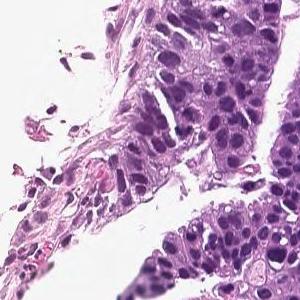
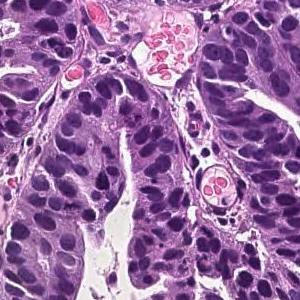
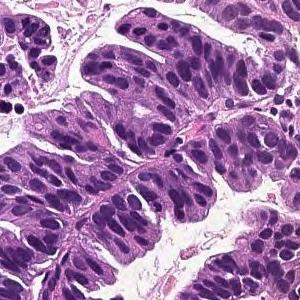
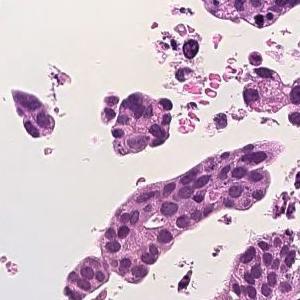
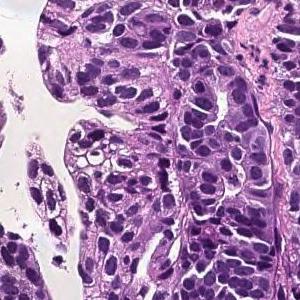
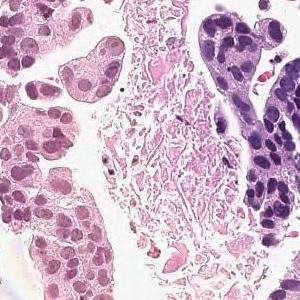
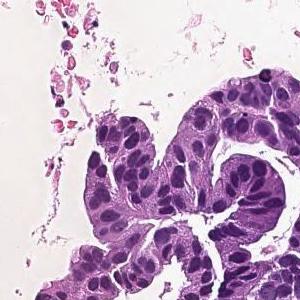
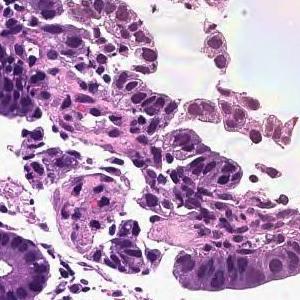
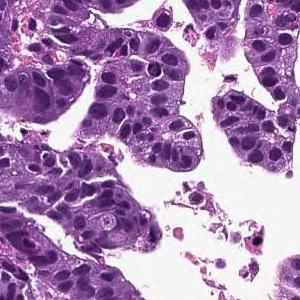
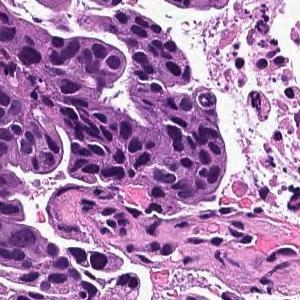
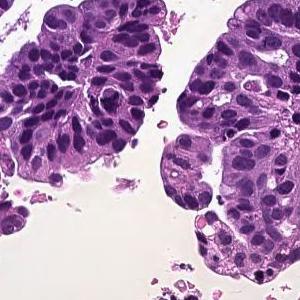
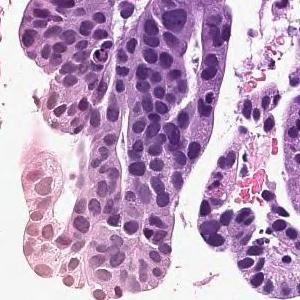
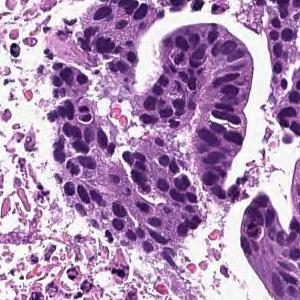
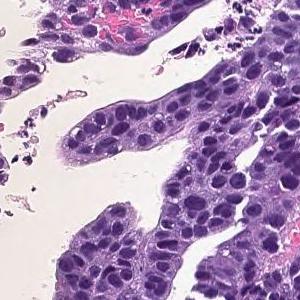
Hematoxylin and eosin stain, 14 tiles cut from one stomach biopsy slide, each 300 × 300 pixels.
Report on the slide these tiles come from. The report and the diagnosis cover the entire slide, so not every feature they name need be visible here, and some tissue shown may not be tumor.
Tumor cells are large, highly columnar, large club-shaped nuclei, and are associated with chromatin aggregation. Papillary adenocarcinoma.
